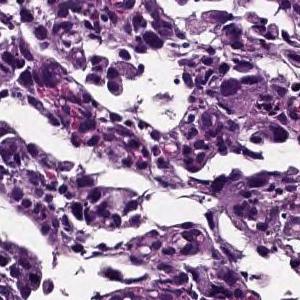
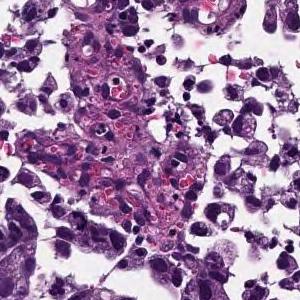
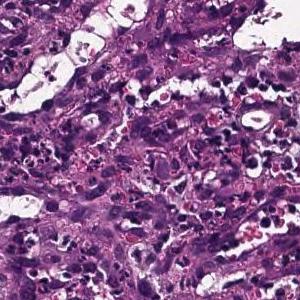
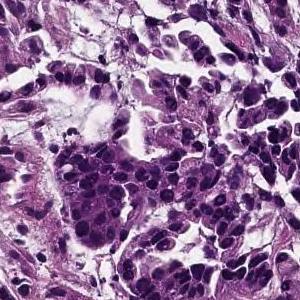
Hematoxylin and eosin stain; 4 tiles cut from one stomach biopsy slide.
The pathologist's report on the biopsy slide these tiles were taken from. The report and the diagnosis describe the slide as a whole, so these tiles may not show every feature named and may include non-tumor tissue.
Medium to small, irregular glandular ducts are formed in the superficial epithelium, and in some cases, the glandular ducts are fused to show solid alveolar lesions and infiltrating tumor tissue is observed. Moderately to poorly differentiated adenocarcinoma.
